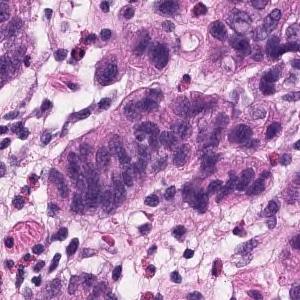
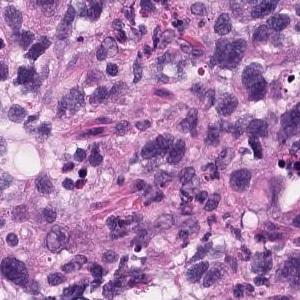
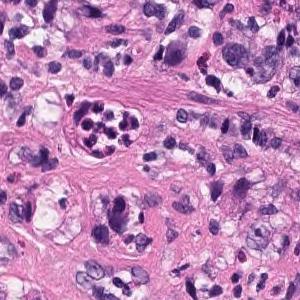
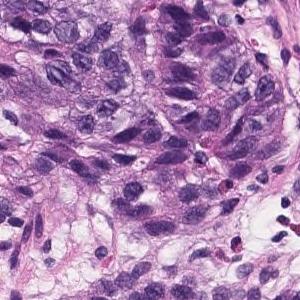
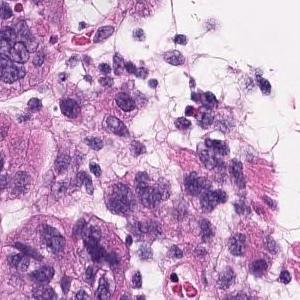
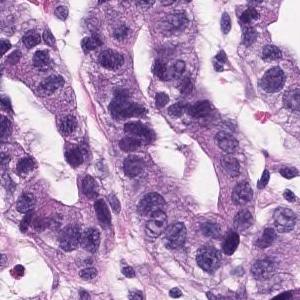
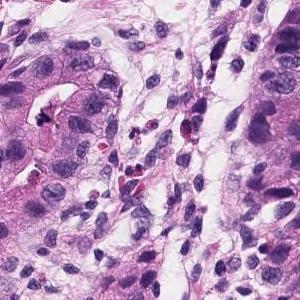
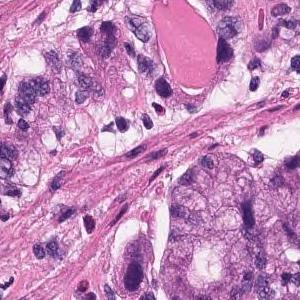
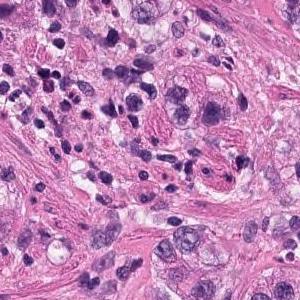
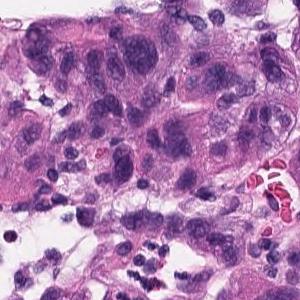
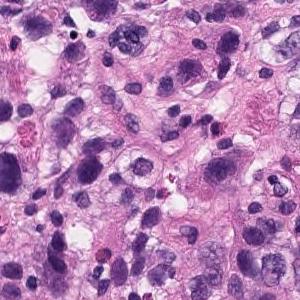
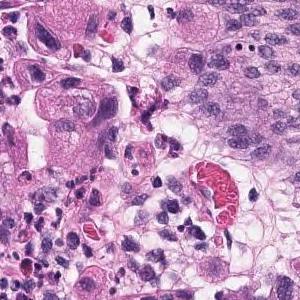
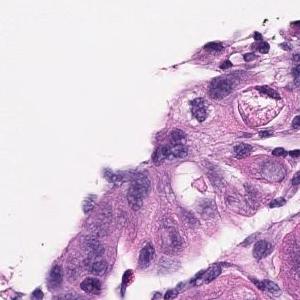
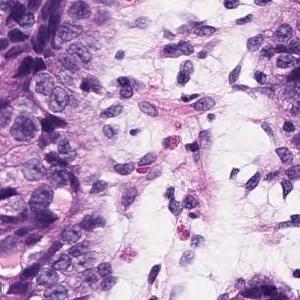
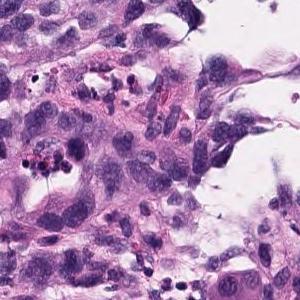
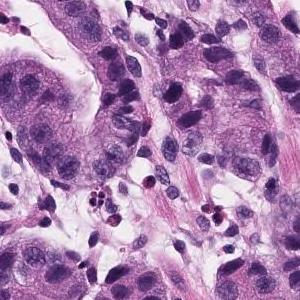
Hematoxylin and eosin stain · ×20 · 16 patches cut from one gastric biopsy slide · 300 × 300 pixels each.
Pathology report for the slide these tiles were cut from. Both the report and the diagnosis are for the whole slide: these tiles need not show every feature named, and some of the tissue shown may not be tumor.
Atypical l cells with atypical nuclei forming diffuse or small irregular atypical ducts and growing. Moderately to poorly differentiated adenocarcinoma (poorly differentiated adenocarcinoma, solid type, moderately differentiated tubular adenocarcinoma)
Classified as moderately to poorly differentiated adenocarcinoma.
The term "solid type" comes from the Japanese Classification of Gastric Carcinoma; the WHO 2019 equivalent is tubular adenocarcinoma, poorly differentiated.
